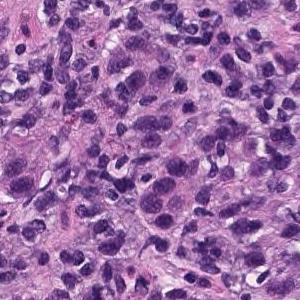
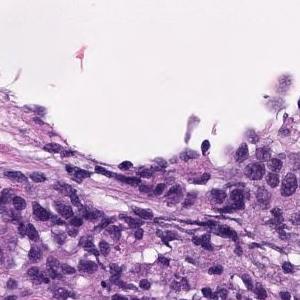
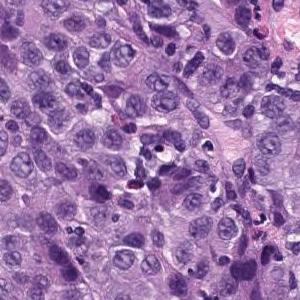
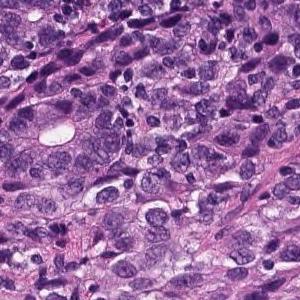
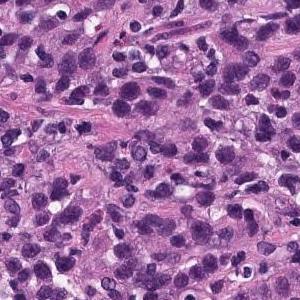
5 patches cut from one gastric biopsy slide, 300 × 300 pixels each, hematoxylin and eosin stain.
Report on the slide these tiles come from. Both the report and the diagnosis are for the whole slide: these tiles need not show every feature named, and some of the tissue shown may not be tumor.
In the superficial epithelium, tumor tissue that invades by forming medium-sized to small, irregular ducts is observed. Moderately differentiated adenocarcinoma.
Subtype: Moderately differentiated tubular adenocarcinoma.
